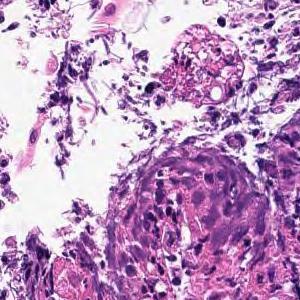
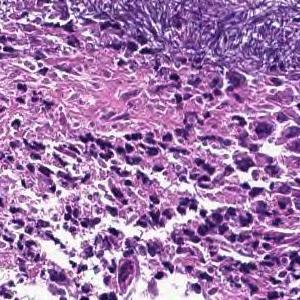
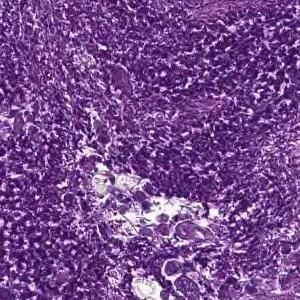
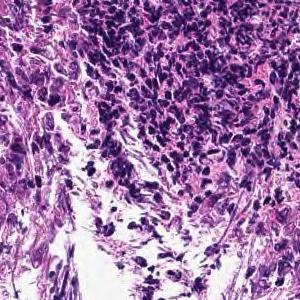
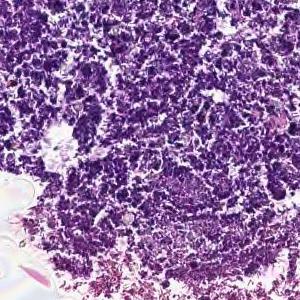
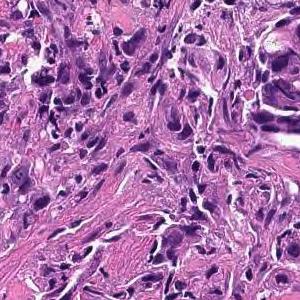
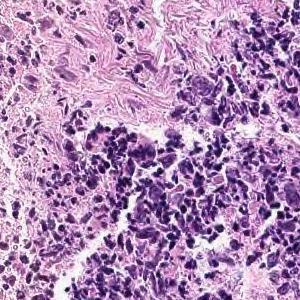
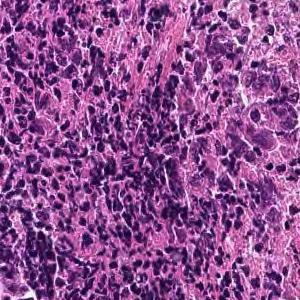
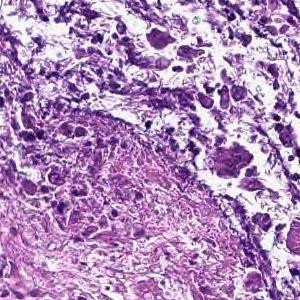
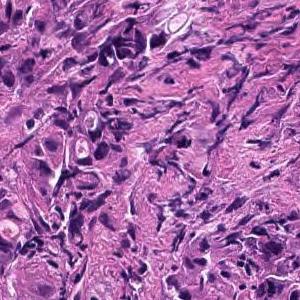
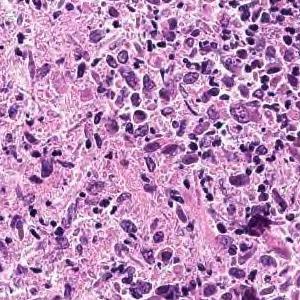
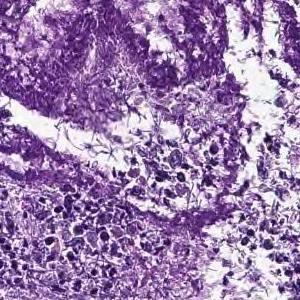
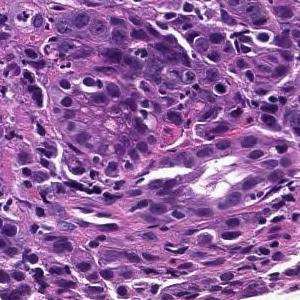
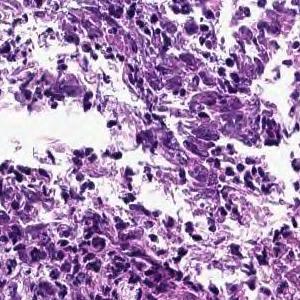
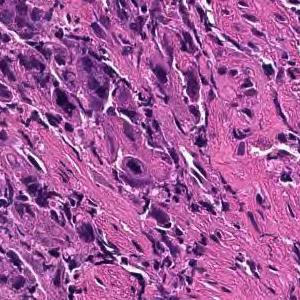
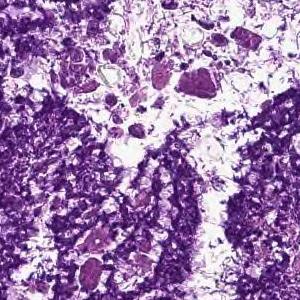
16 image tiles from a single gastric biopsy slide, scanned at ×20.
Pathology report for the biopsy slide these tiles were cut from. What the report and the diagnosis say applies to the whole slide; these tiles may miss some of the features named and may include tissue that is not tumor.
Cancers with polygonal nuclei do not show glandular formation and are densely, in part, cord-like and proliferate. Poorly differentiated adenocarcinoma
Histological subtype: Poorly differentiated adenocarcinoma, non-solid type.
The non-solid type named here is a Japanese Classification of Gastric Carcinoma category.
